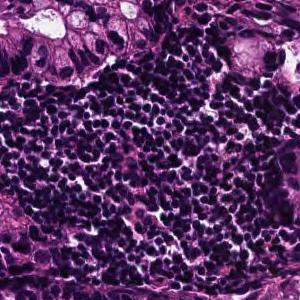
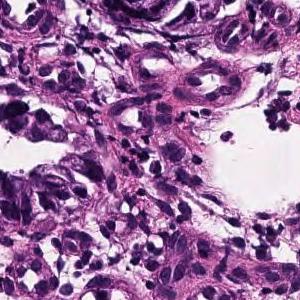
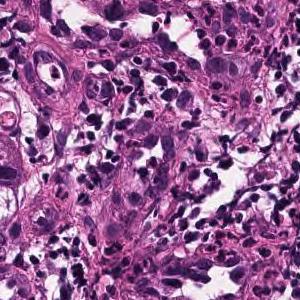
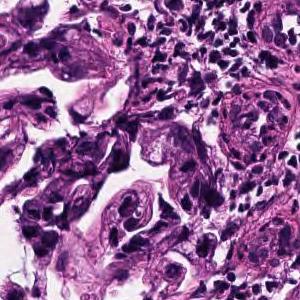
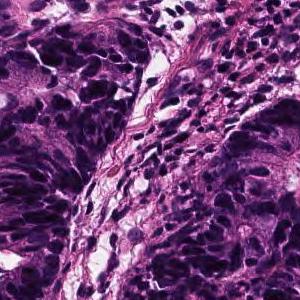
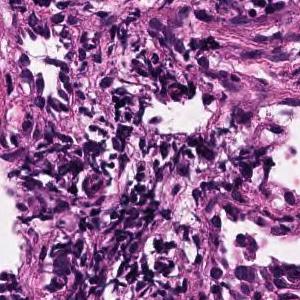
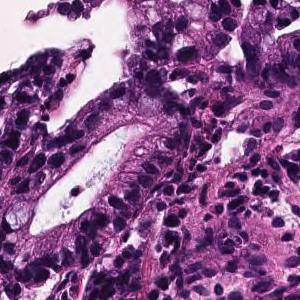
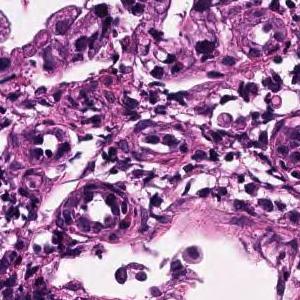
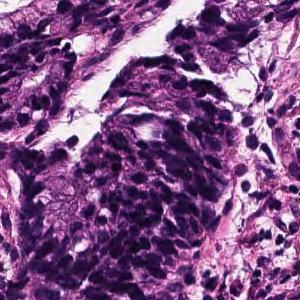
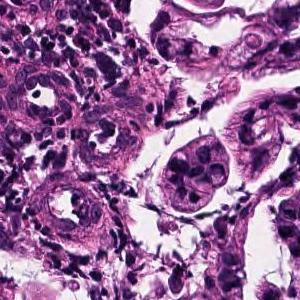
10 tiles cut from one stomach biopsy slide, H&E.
Diagnostic report for the slide these tiles come from. What the report and the diagnosis say applies to the whole slide; these tiles may miss some of the features named and may include tissue that is not tumor.
On the superficial epithelium, tumor tissue consisting of large, irregular glandular ducts partially fused and infiltrated is observed. Well to moderately differentiated tubular adenocarcinoma (well differentiated tubular adenocarcinoma, moderately differentiated tubular adenocarcinoma)
Classified as well to moderately differentiated tubular adenocarcinoma.
